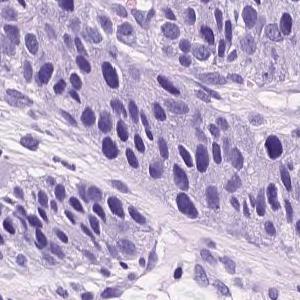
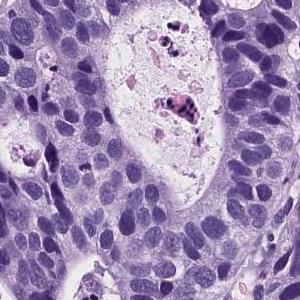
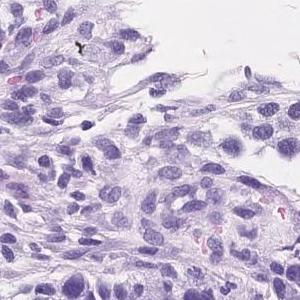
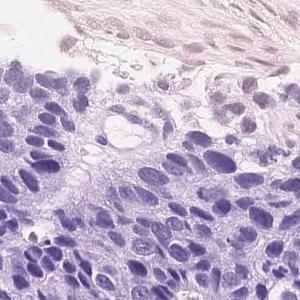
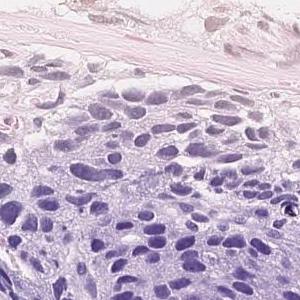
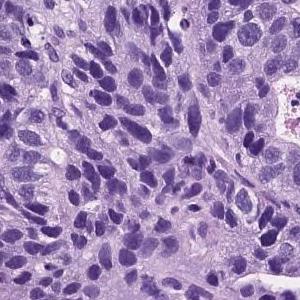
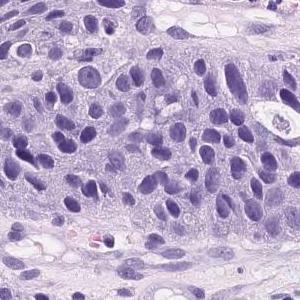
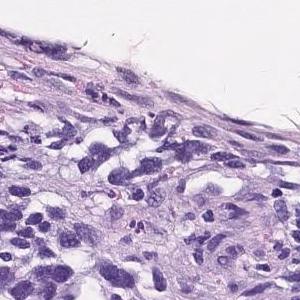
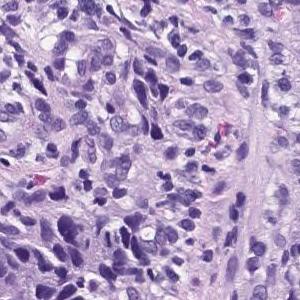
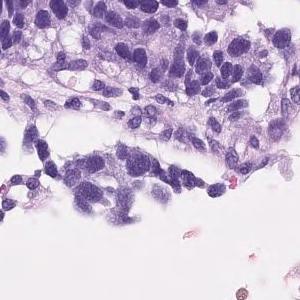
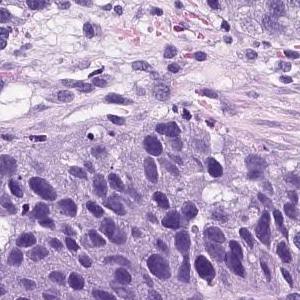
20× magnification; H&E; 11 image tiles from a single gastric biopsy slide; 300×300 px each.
Pathology report for the biopsy slide these tiles were cut from. What the report and the diagnosis say applies to the whole slide; these tiles may miss some of the features named and may include tissue that is not tumor.
Atypical cells with atypical nuclei forming small irregular atypical ducts and growing in a conformative manner. moderately differentiated tubular adenocarcinoma
The dataset labels this slide moderately to poorly differentiated adenocarcinoma.
